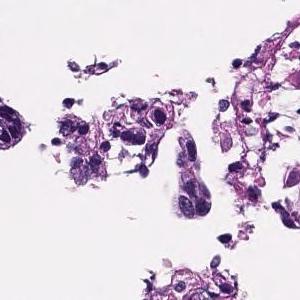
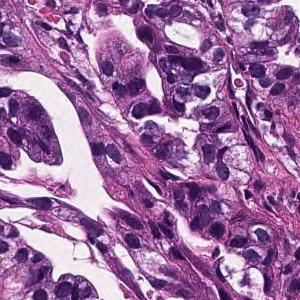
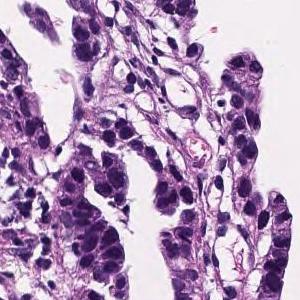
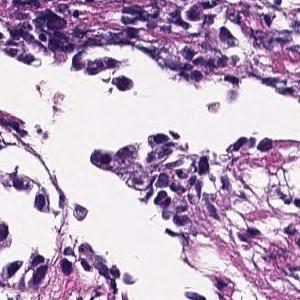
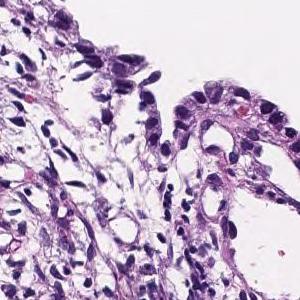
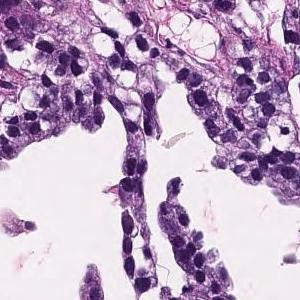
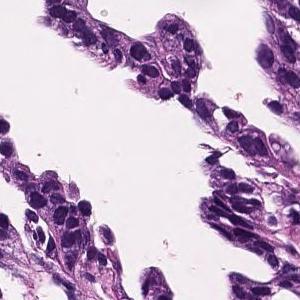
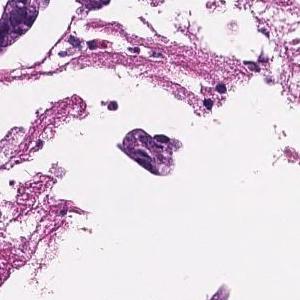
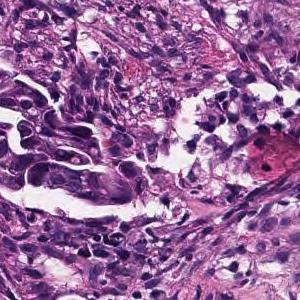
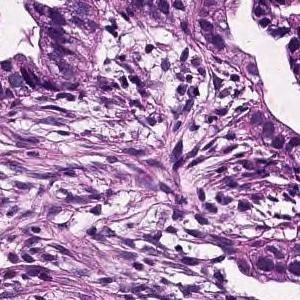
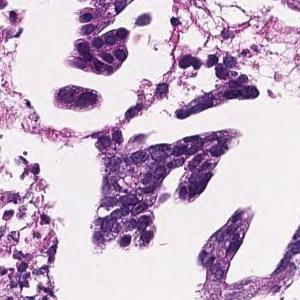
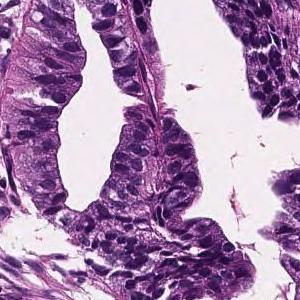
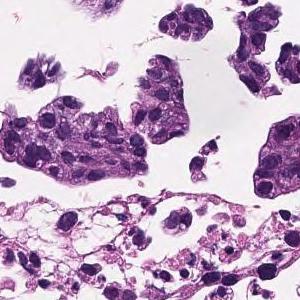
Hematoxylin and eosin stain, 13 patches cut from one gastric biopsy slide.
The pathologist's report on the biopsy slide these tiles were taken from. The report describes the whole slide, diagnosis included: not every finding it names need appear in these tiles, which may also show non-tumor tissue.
In the lamina propria, tumor tissue that invades by forming medium-sized to small, irregular glandular ducts is observed. moderately differentiated tubular adenocarcinoma
